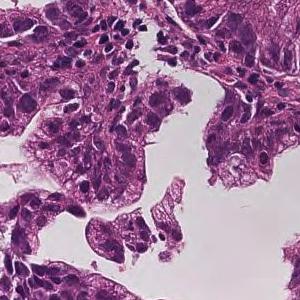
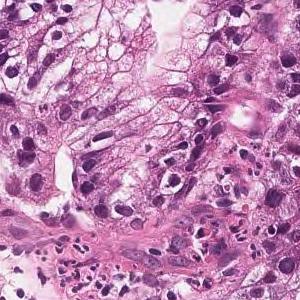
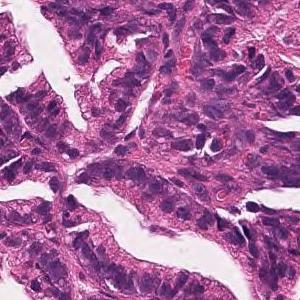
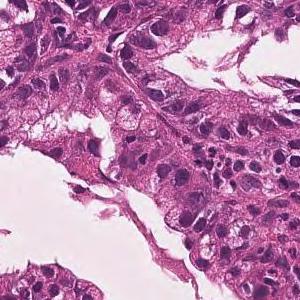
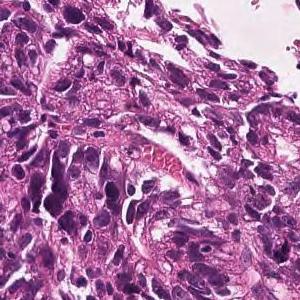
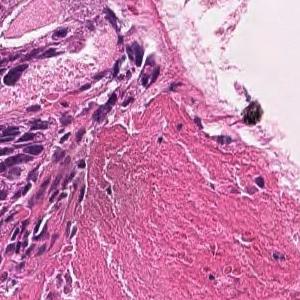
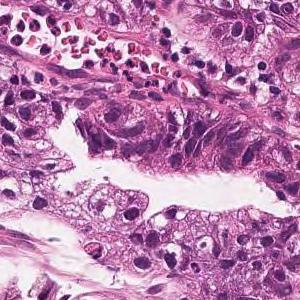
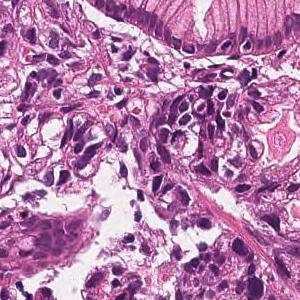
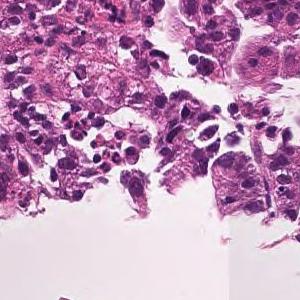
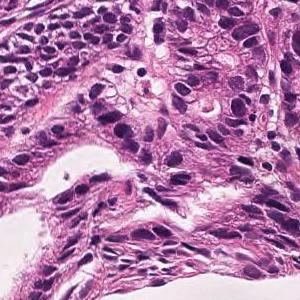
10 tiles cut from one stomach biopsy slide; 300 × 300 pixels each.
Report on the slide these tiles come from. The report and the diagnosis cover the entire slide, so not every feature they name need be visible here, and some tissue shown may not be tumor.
On the superficial epithelium, tumor tissue consisting of large, irregular glandular ducts partially fused and infiltrated is observed. Well to moderately differentiated tubular adenocarcinoma (well differentiated tubular adenocarcinoma, moderately differentiated tubular adenocarcinoma)
Histological subtype: Well to moderately differentiated tubular adenocarcinoma.
